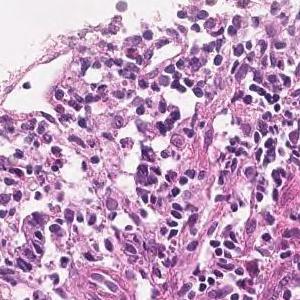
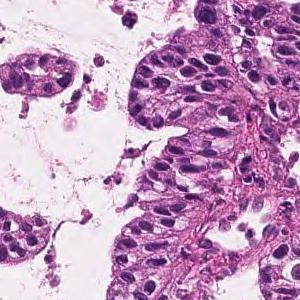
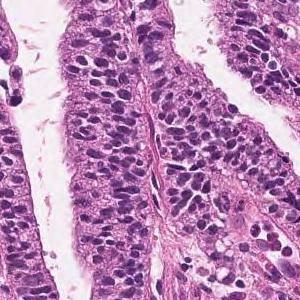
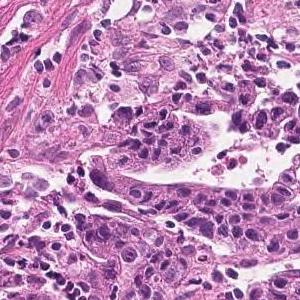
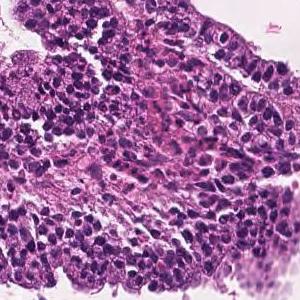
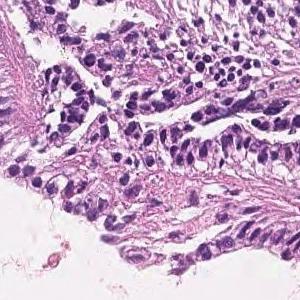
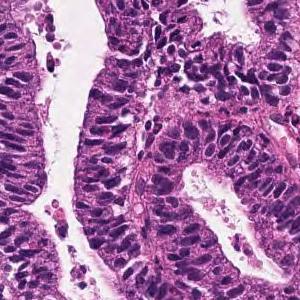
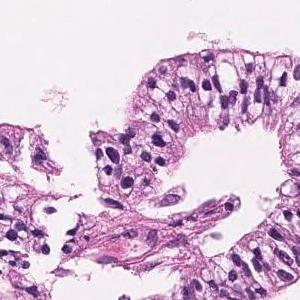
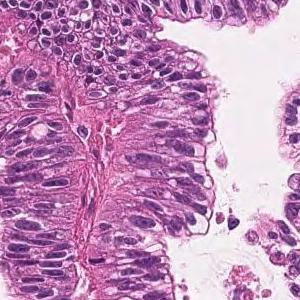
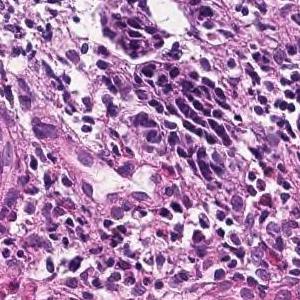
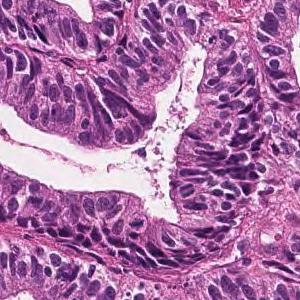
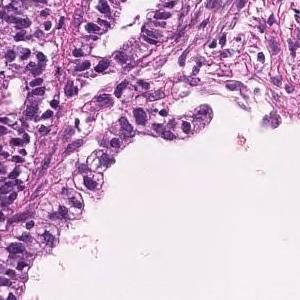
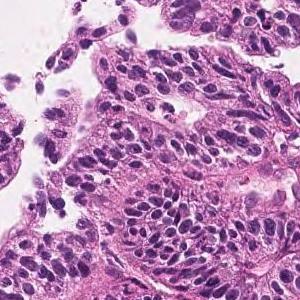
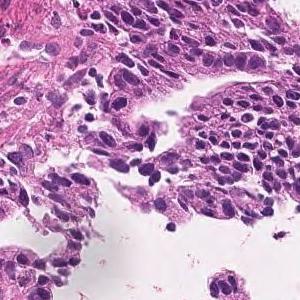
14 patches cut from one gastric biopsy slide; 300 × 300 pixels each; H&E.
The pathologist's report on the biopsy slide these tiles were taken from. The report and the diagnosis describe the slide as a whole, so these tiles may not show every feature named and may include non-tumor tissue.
Tumor cells are large, highly columnar, large club-shaped nuclei, and are associated with chromatin aggregation. Papillary adenocarcinoma.
